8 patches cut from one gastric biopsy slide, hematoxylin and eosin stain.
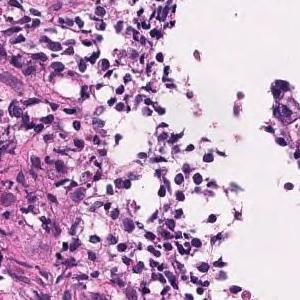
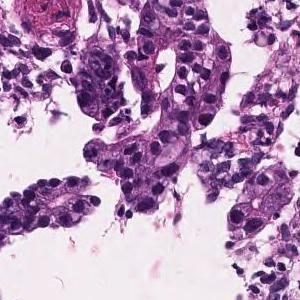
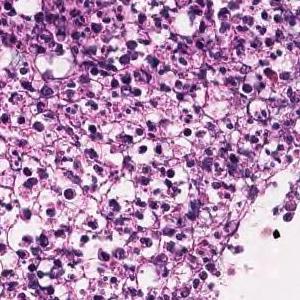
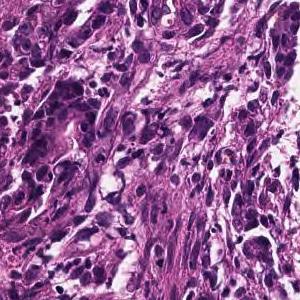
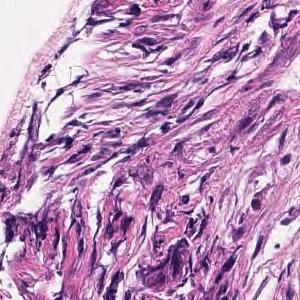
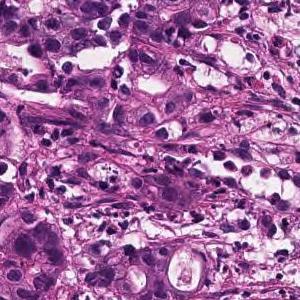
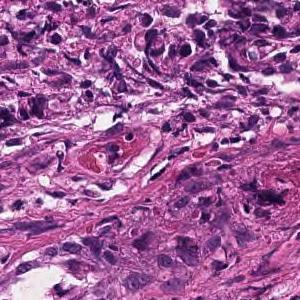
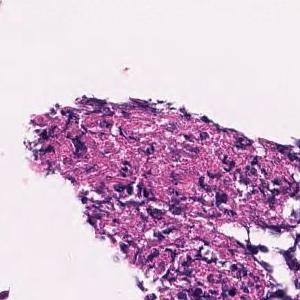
Pathology report for the biopsy slide these tiles were cut from. What the report and the diagnosis say applies to the whole slide; these tiles may miss some of the features named and may include tissue that is not tumor.
In the superficial epithelium, medium to small, irregular gland ducts are formed, and in some cases, the gland ducts are fused to show solid alveolar lesions and infiltrating tumor tissue is observed. Moderately to poorly differentiated adenocarcinoma.
